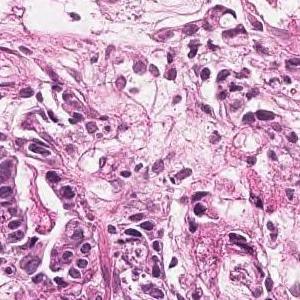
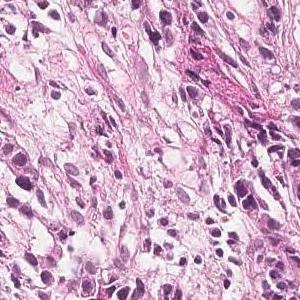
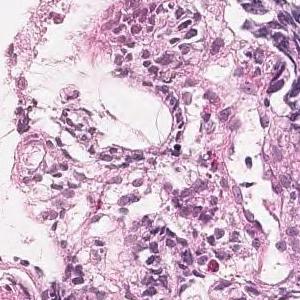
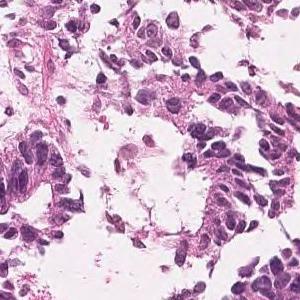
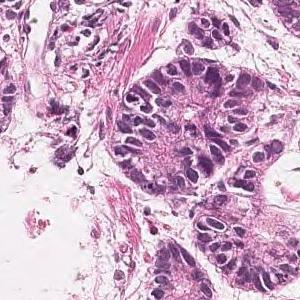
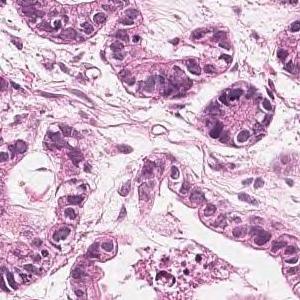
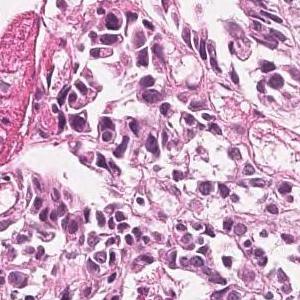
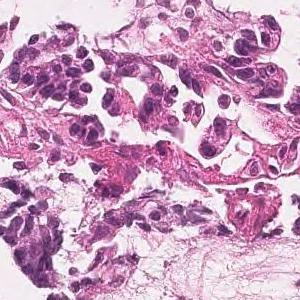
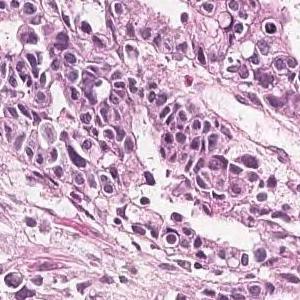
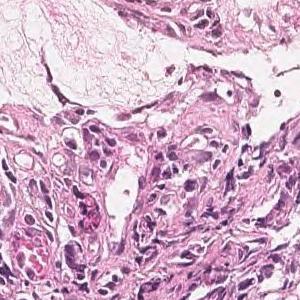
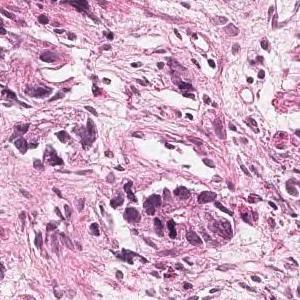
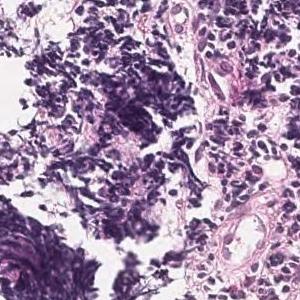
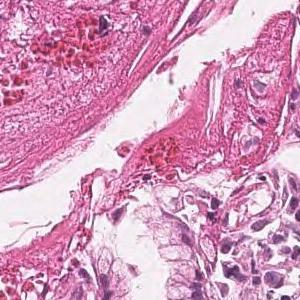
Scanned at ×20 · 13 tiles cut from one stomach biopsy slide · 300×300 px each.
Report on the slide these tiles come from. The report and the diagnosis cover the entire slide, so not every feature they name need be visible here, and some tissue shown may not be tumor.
On the superficial epithelium, tumor tissue consisting of large, irregular glandular ducts partially fused and infiltrated is observed. Well to moderately differentiated tubular adenocarcinoma (well differentiated tubular adenocarcinoma, moderately differentiated tubular adenocarcinoma)
Classified as well to moderately differentiated tubular adenocarcinoma.
